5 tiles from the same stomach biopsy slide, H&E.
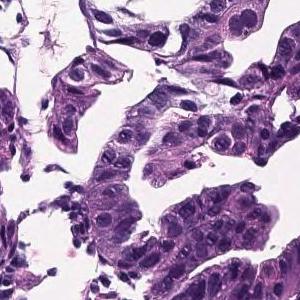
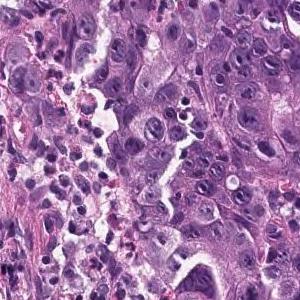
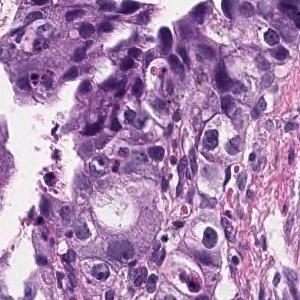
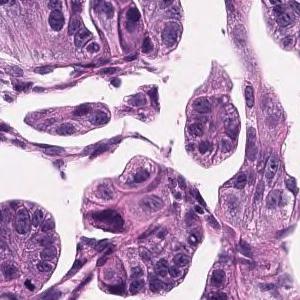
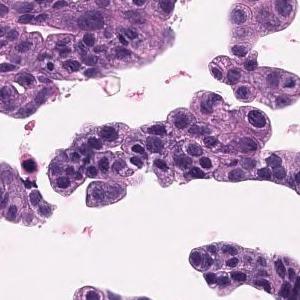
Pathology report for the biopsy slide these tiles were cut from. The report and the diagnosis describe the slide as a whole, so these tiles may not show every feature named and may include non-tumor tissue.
Tumor cells are large, highly columnar, large club-shaped nuclei, and are associated with chromatin aggregation. Papillary adenocarcinoma.
